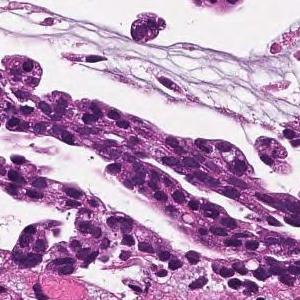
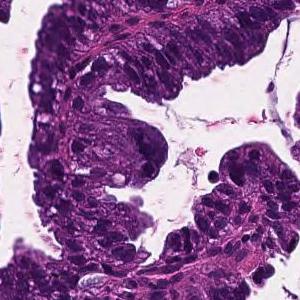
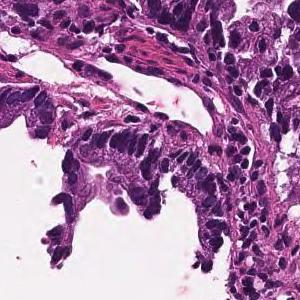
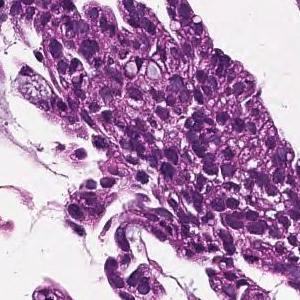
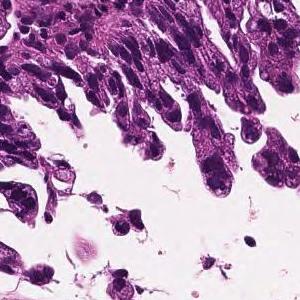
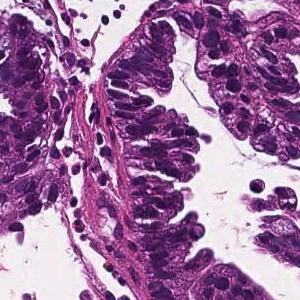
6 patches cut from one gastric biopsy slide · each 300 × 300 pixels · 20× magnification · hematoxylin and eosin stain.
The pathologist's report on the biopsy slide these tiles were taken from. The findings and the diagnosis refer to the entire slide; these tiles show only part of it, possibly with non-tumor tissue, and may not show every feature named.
Tumor cells are large, highly columnar, large club-shaped nuclei, and are associated with chromatin aggregation. Papillary adenocarcinoma.
